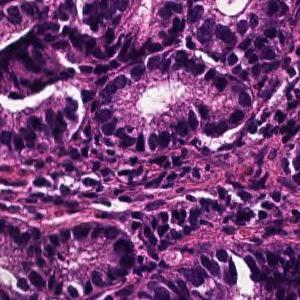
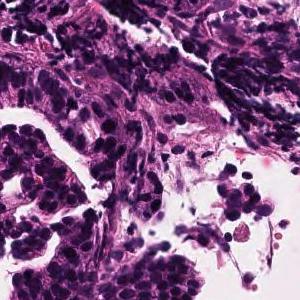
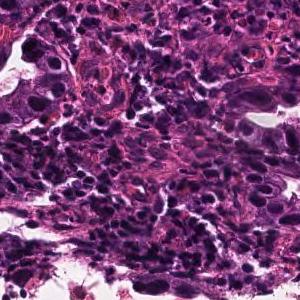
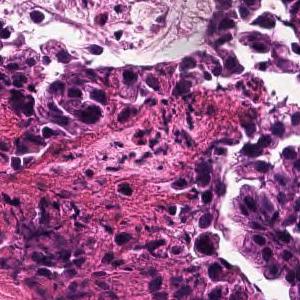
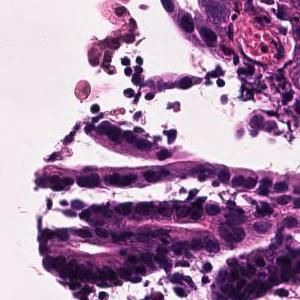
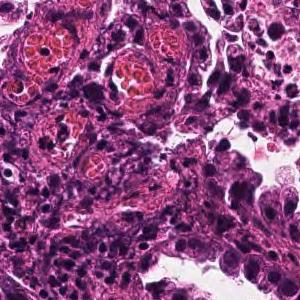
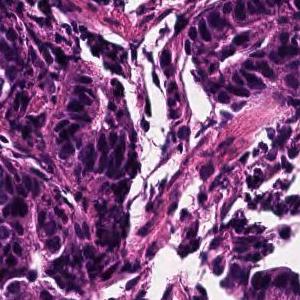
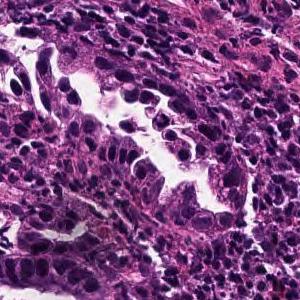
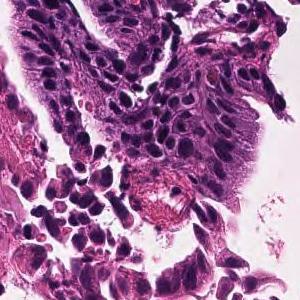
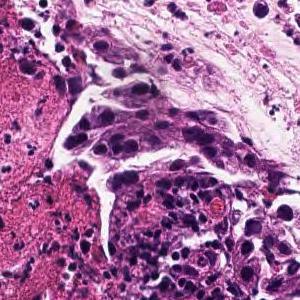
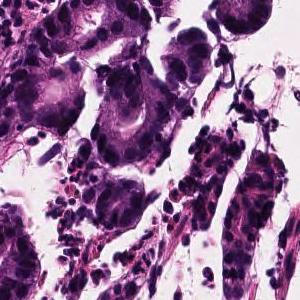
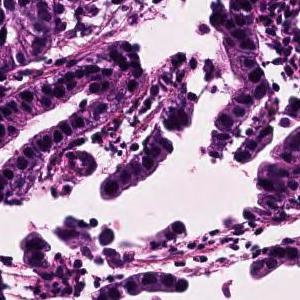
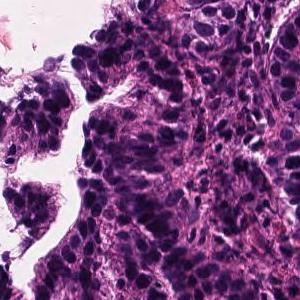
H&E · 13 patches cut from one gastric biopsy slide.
Pathology report for the slide these tiles were cut from. The findings and the diagnosis refer to the entire slide; these tiles show only part of it, possibly with non-tumor tissue, and may not show every feature named.
Tumor tissue consisting of large papillary structures is found in the superficial epithelium. Papillary adenocarcinoma.
